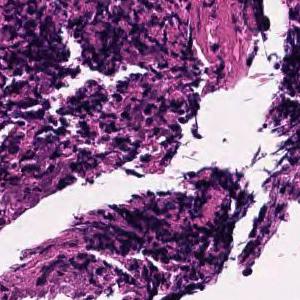
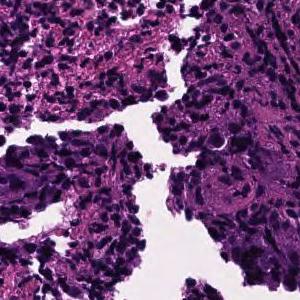
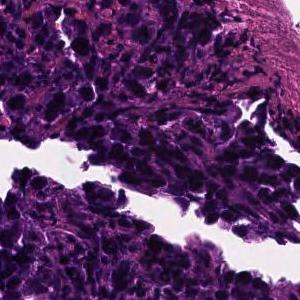
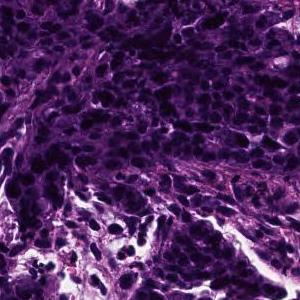
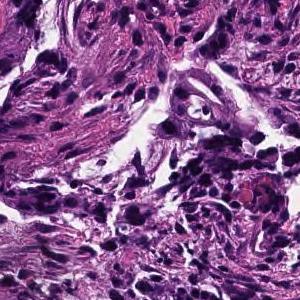
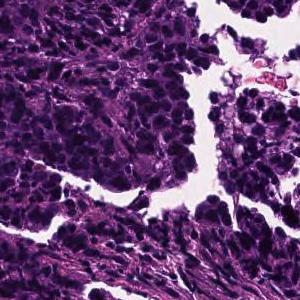
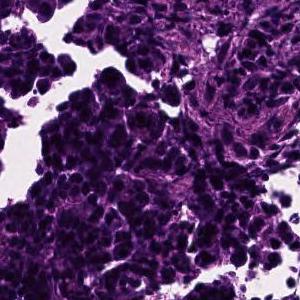
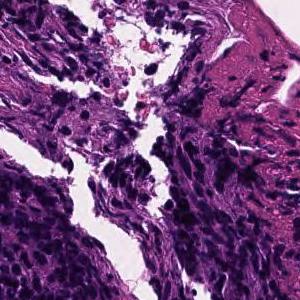
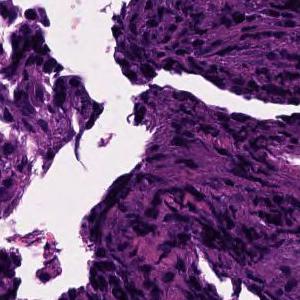
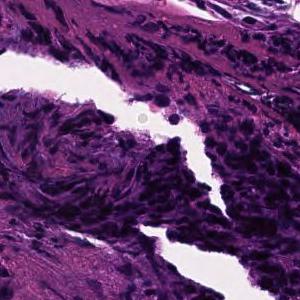
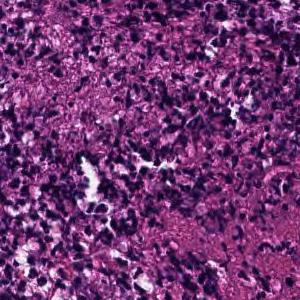
Scanned at ×20, H&E, 11 tiles cut from one stomach biopsy slide, 300 × 300 pixels each.
Diagnostic report for the slide these tiles come from. Both the report and the diagnosis are for the whole slide: these tiles need not show every feature named, and some of the tissue shown may not be tumor.
In the superficial epithelium, tumor tissue that invades by forming medium-sized to small, irregular ducts is observed. moderately differentiated tubular adenocarcinoma.
